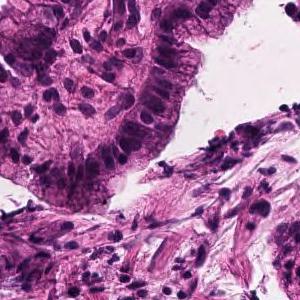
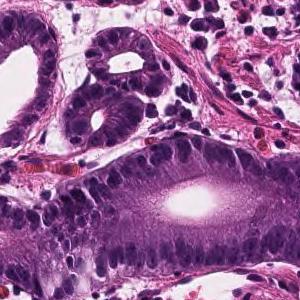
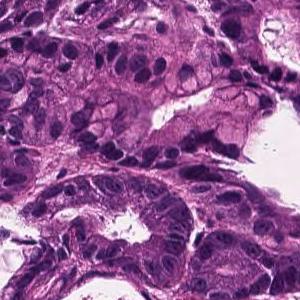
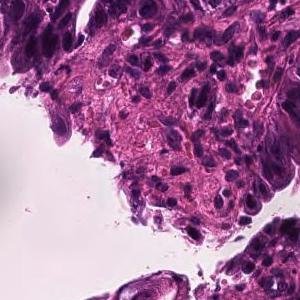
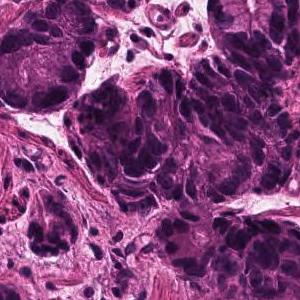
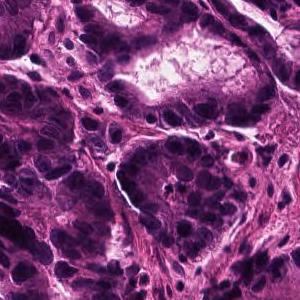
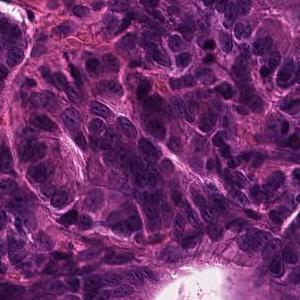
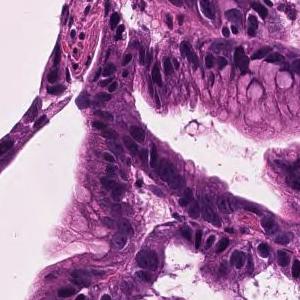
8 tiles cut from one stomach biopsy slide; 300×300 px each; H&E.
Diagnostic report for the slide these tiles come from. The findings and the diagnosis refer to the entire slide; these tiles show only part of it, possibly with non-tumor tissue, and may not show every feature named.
In the superficial epithelium, tumor tissue that invades by forming medium-sized to small, irregular ducts is observed. Well differentiated tubular adenocarcinoma.
